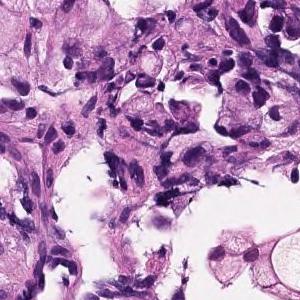
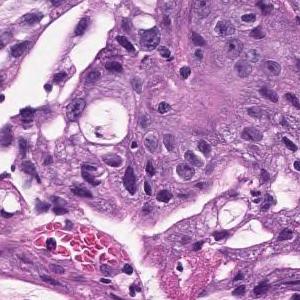
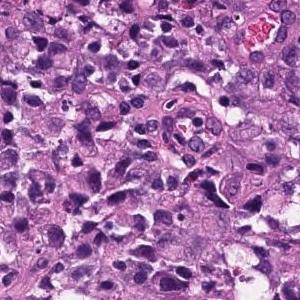
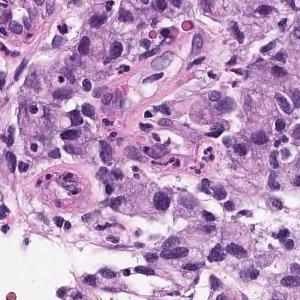
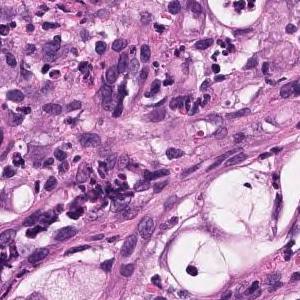
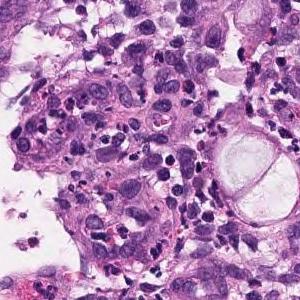
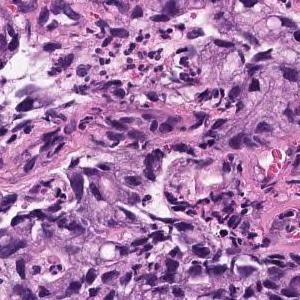
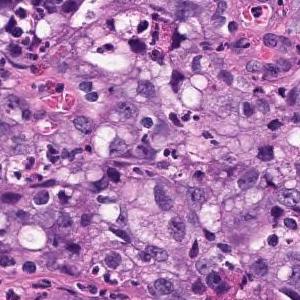
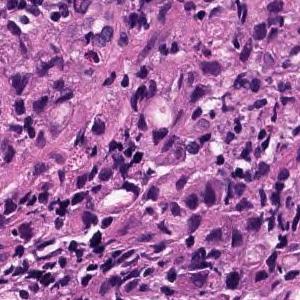
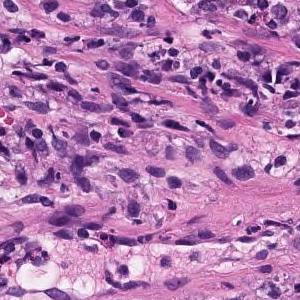
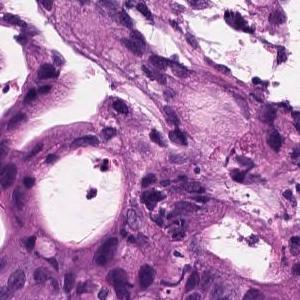
11 image tiles from a single gastric biopsy slide; 300×300 px each; 20× magnification; H&E stain.
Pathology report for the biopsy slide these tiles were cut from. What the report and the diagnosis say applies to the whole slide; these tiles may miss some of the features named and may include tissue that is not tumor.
Atypical epithelium forms irregularly fused gland ducts and proliferates. Poorly differentiated adenocarcinoma.
Histological subtype: Poorly differentiated adenocarcinoma, non-solid type.
The term "non-solid type" comes from the Japanese Classification of Gastric Carcinoma.
